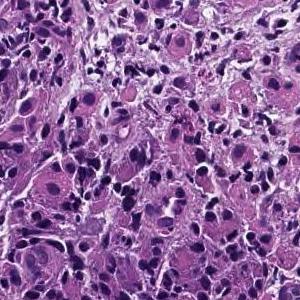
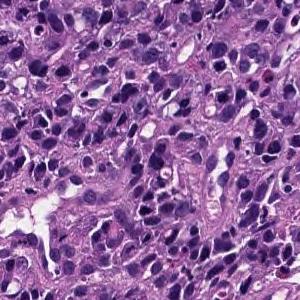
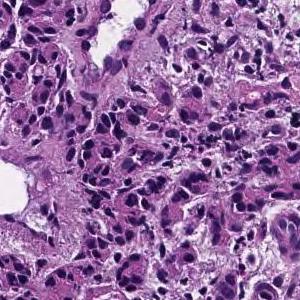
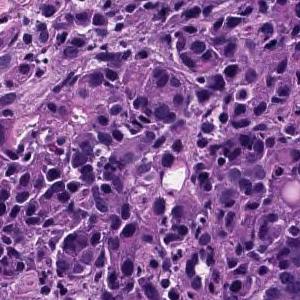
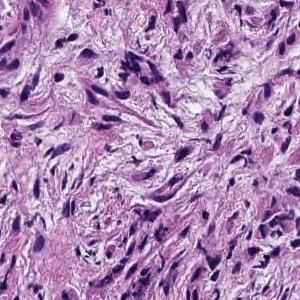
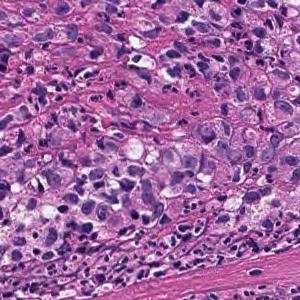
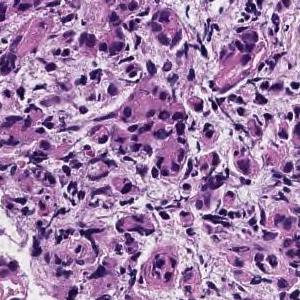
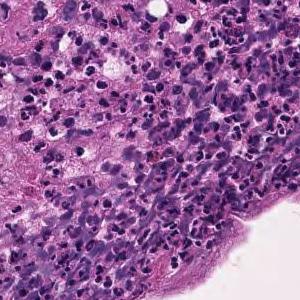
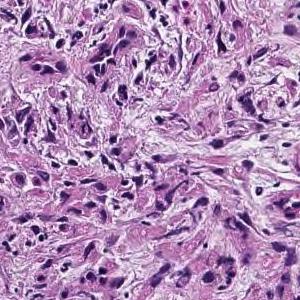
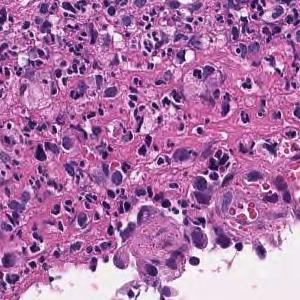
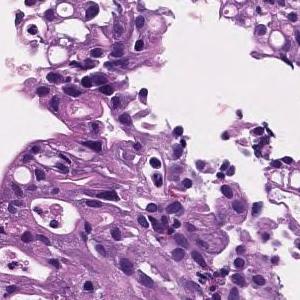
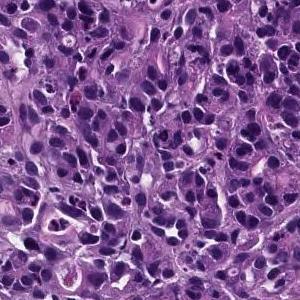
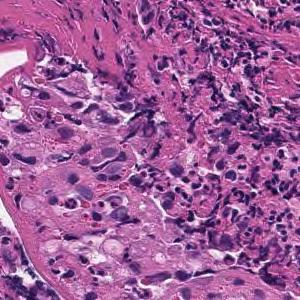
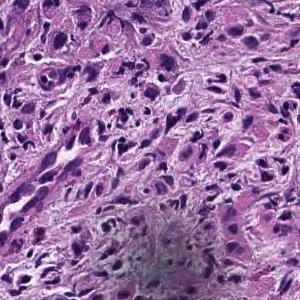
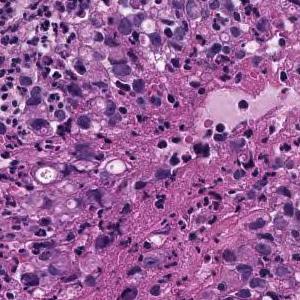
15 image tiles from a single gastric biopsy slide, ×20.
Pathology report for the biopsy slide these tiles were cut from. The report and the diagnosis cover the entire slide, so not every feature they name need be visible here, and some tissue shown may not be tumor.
The superficial epithelium shows a large sheet-like shape, and some tumor tissue infiltrates with small irregular ducts. Poorly differentiated adenocarcinoma, solid-type
Histologic type: Poorly differentiated adenocarcinoma, solid type, a category of the Japanese Classification of Gastric Carcinoma; in the WHO 2019 classification it is tubular adenocarcinoma, poorly differentiated.
